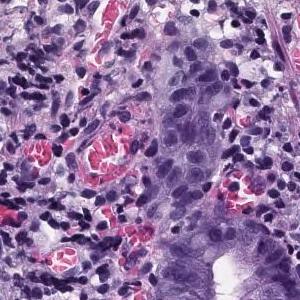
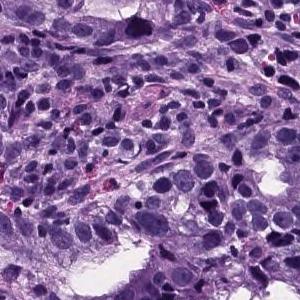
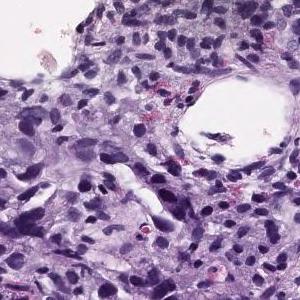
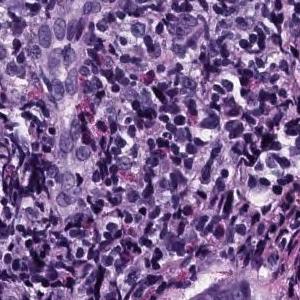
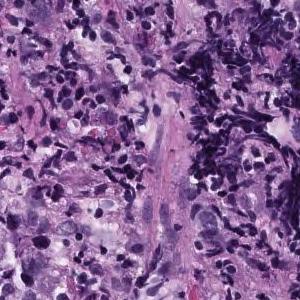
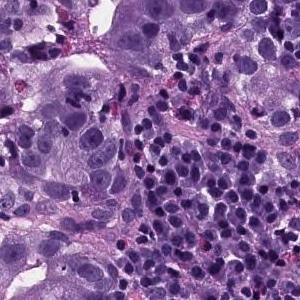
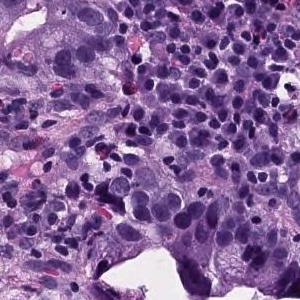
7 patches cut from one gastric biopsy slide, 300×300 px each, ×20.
Pathology report for the slide these tiles were cut from. The report and the diagnosis cover the entire slide, so not every feature they name need be visible here, and some tissue shown may not be tumor.
Atypical epithelial cells infiltrating and proliferating while forming solid or cord-like fused glandular cavities of different sizes is observed. moderately differentiated tubular adenocarcinoma, poorly differentiated adenocarcinoma.
Subtype: Moderately to poorly differentiated adenocarcinoma.
